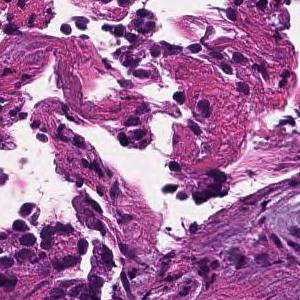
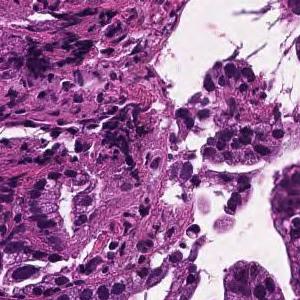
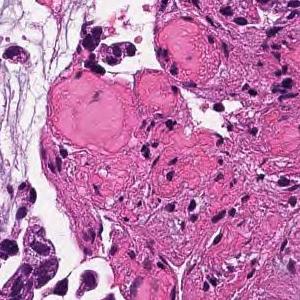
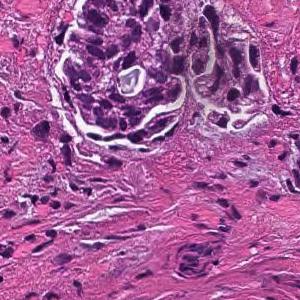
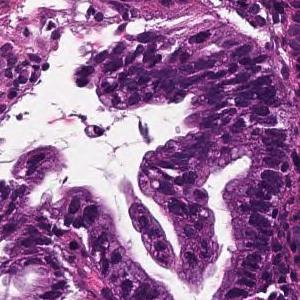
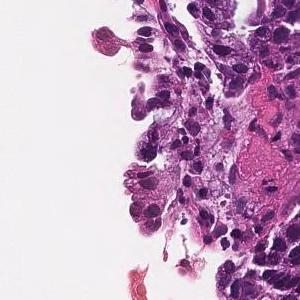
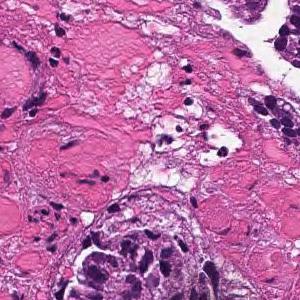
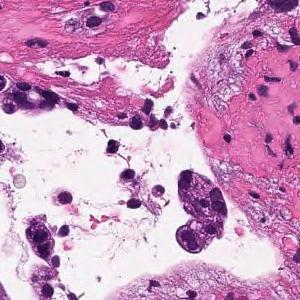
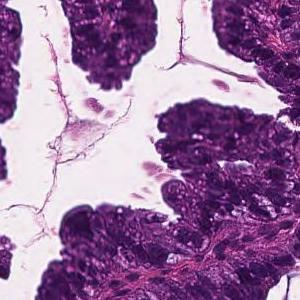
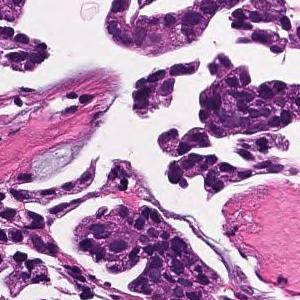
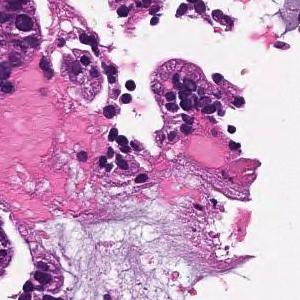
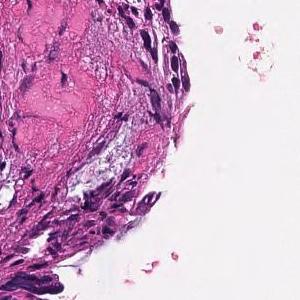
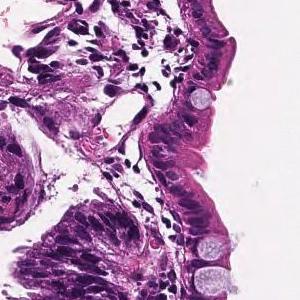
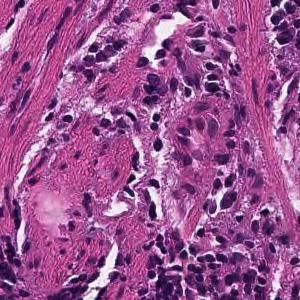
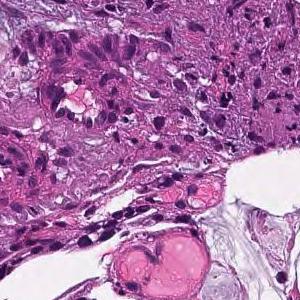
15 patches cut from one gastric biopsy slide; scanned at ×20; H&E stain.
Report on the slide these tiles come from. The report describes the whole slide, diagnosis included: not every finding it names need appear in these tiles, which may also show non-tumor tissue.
Tumor cells are large, highly columnar, large club-shaped nuclei, and are associated with chromatin aggregation. Papillary adenocarcinoma.
